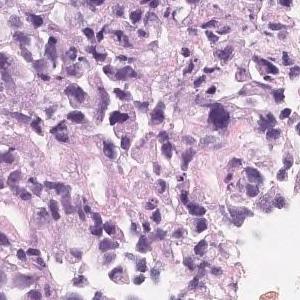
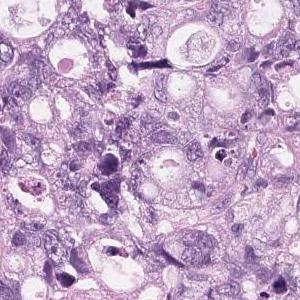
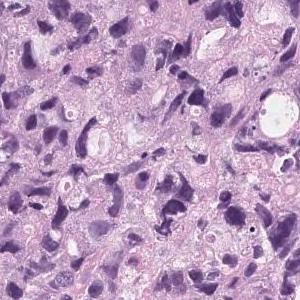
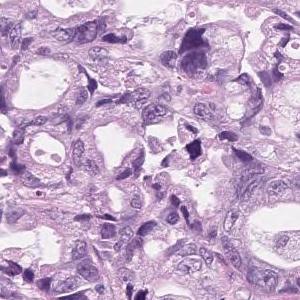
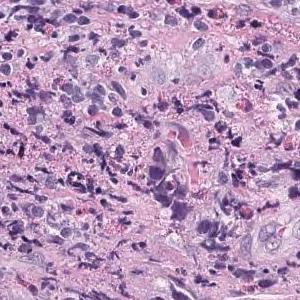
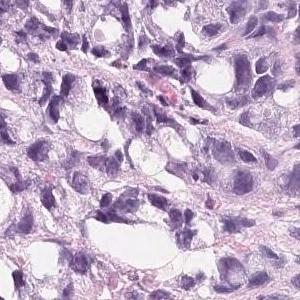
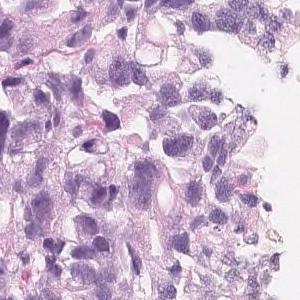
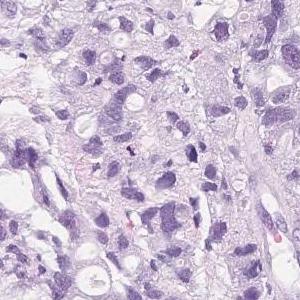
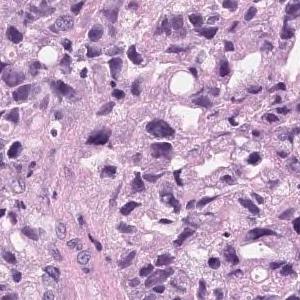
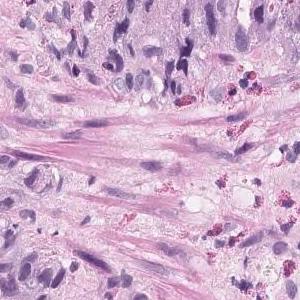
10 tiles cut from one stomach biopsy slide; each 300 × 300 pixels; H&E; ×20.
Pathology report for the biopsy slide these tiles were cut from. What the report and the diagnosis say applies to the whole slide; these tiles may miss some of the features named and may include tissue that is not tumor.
Tumor tissue that infiltrates and proliferates by forming small glandular cavities in the superficial layer to the submucosa or forming a mass is observed. moderately differentiated tubular adenocarcinoma
